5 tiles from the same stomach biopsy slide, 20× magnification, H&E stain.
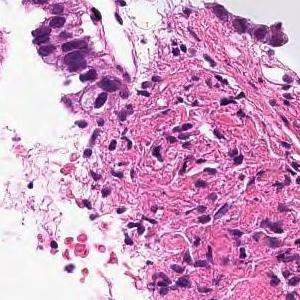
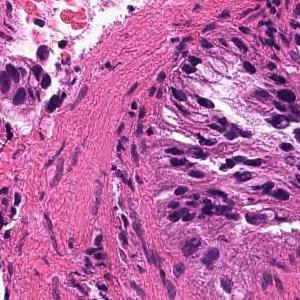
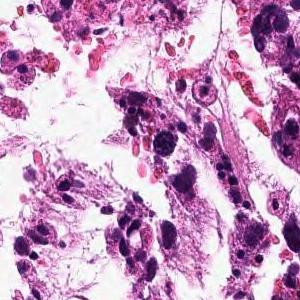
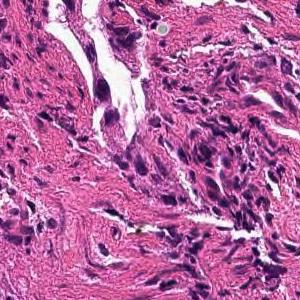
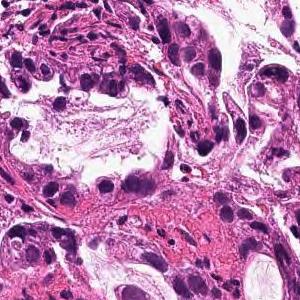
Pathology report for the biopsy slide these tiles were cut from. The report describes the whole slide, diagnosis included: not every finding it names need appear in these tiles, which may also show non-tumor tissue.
From the superficial epithelium to the muscularis mucosae, tumor tissue infiltrating by forming medium-sized irregular gland ducts is observed. Well differentiated tubular adenocarcinoma
